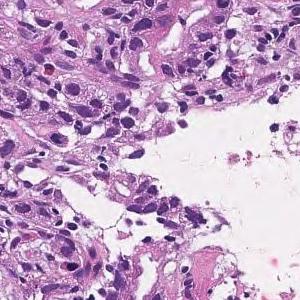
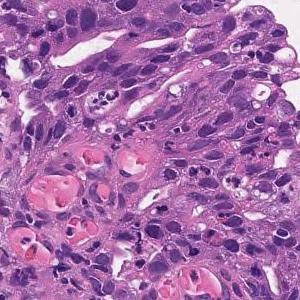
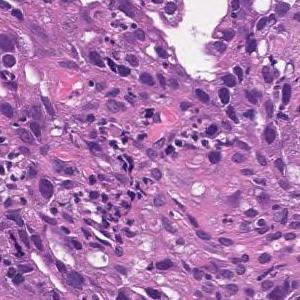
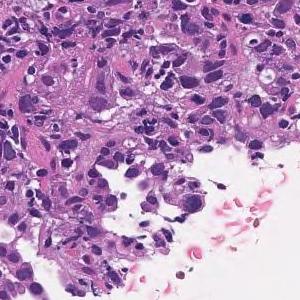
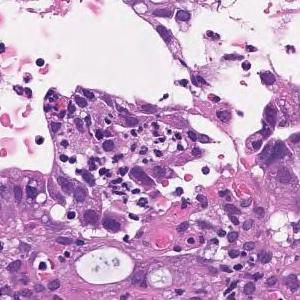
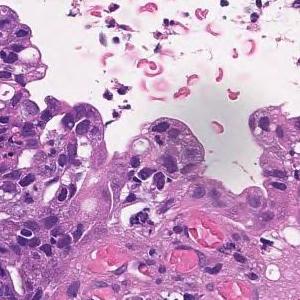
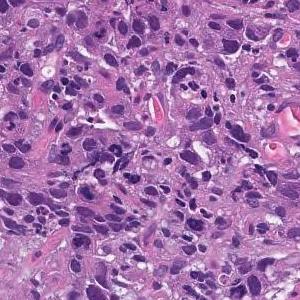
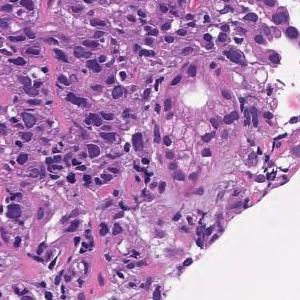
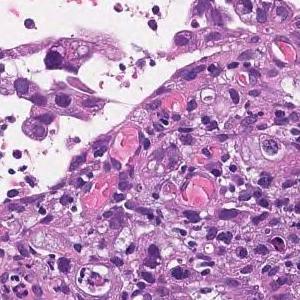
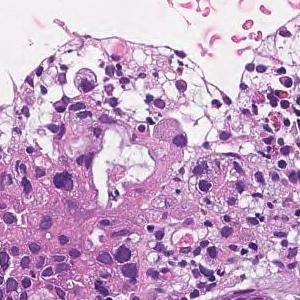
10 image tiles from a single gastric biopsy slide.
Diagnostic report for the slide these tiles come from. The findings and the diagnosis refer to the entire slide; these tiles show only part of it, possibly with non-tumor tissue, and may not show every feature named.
In the superficial epithelium, tumor tissue that invades by forming medium-sized to small, irregular ducts is observed. moderately differentiated tubular adenocarcinoma.
